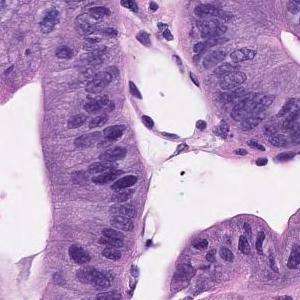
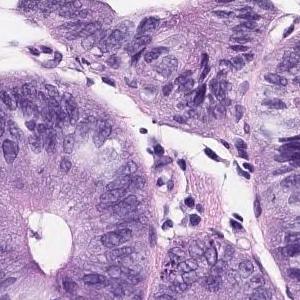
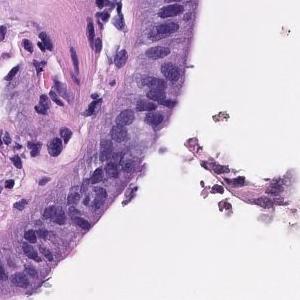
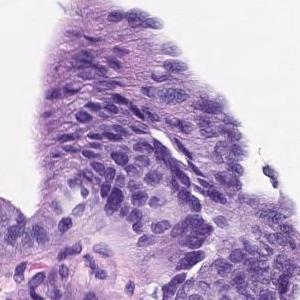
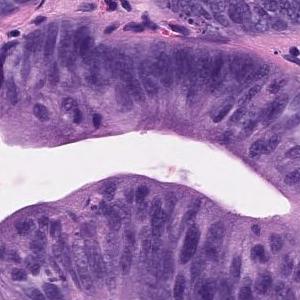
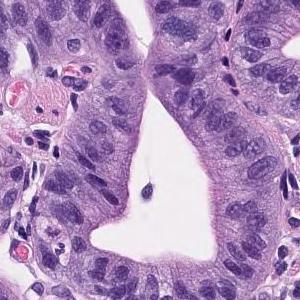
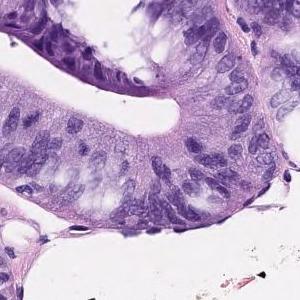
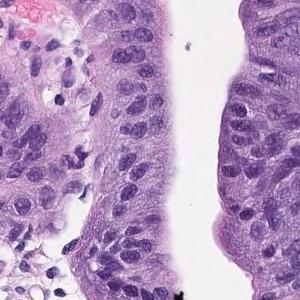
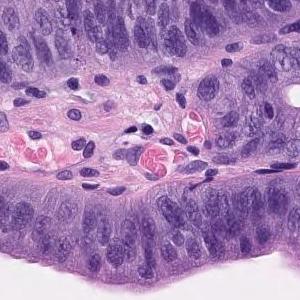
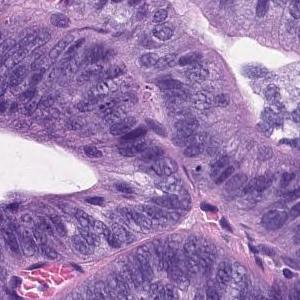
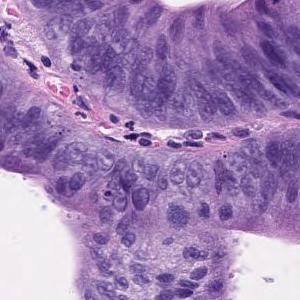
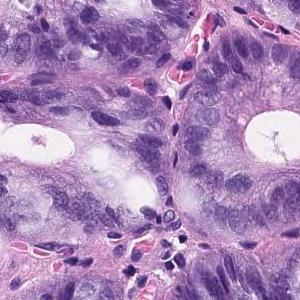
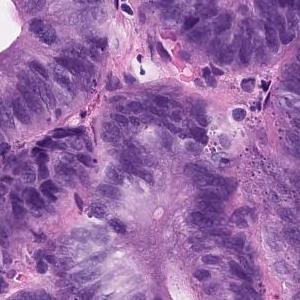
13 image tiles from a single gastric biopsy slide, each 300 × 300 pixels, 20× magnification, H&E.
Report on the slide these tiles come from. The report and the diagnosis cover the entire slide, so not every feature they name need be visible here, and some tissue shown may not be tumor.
On the superficial epithelium, tumor tissue consisting of images of atypical ducts of different sizes partially fused and densely proliferating is observed. Well differentiated tubular adenocarcinoma
